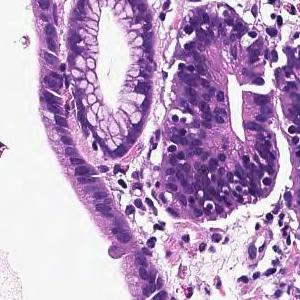
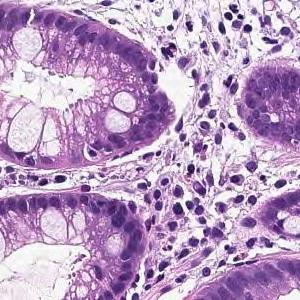
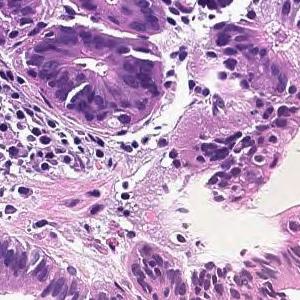
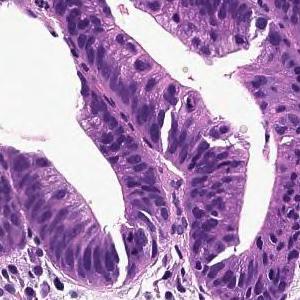
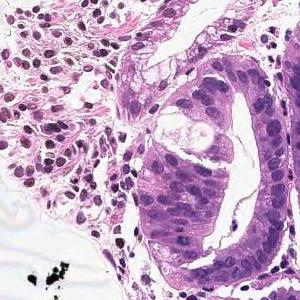
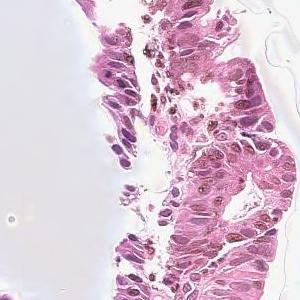
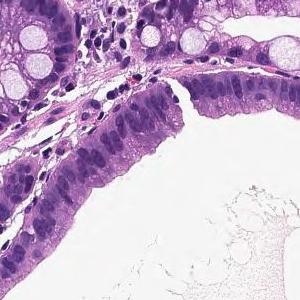
7 tiles cut from one stomach biopsy slide; H&E stain; ×20.
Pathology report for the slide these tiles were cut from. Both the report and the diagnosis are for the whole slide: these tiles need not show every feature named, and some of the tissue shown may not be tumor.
Infiltrating tumor tissue is observed in the superficial epithelium, showing large papillary structures or large and small ducts. Papillary adenocarcinoma
